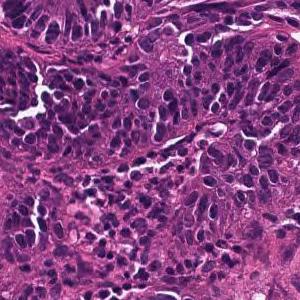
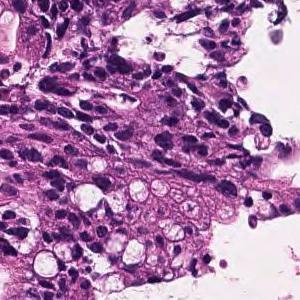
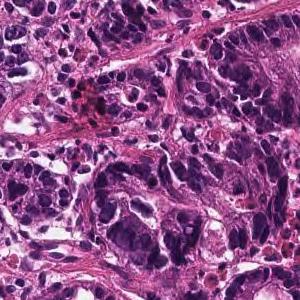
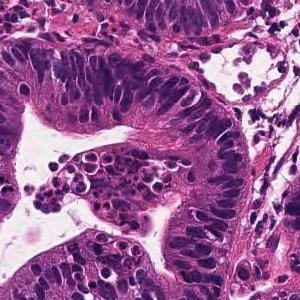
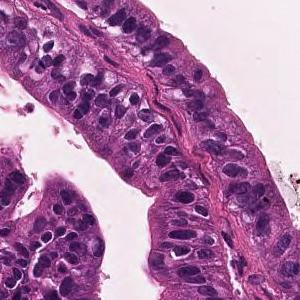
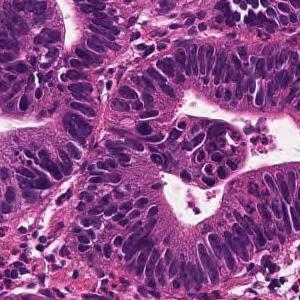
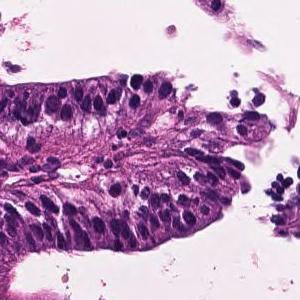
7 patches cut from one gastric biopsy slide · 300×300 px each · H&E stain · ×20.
Pathology report for the slide these tiles were cut from. The findings and the diagnosis refer to the entire slide; these tiles show only part of it, possibly with non-tumor tissue, and may not show every feature named.
A large irregular tubular structure is exhibited in the epithelium, and tumor tissue that partially fuses and infiltrates and proliferates is observed. Large columnar tumor cells exhibit enlarged nucleus, hyperchromatism, and mitotic figures. Well differentiated tubular adenocarcinoma
